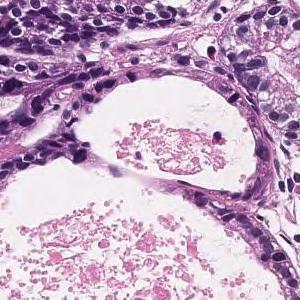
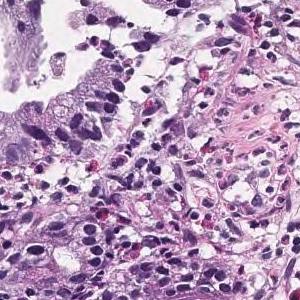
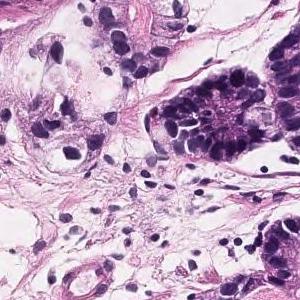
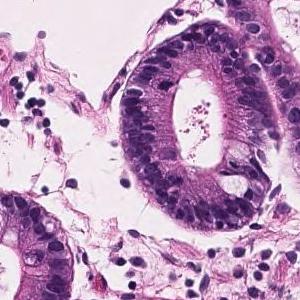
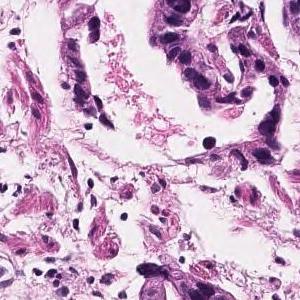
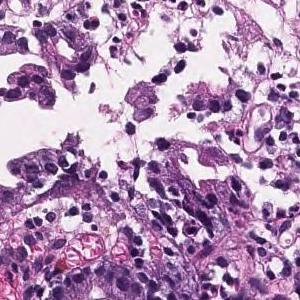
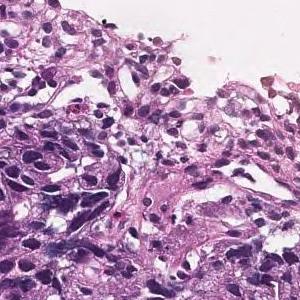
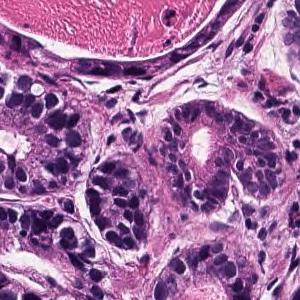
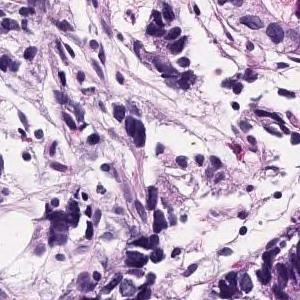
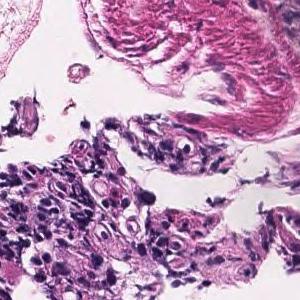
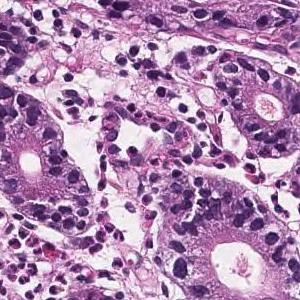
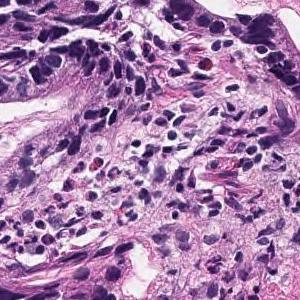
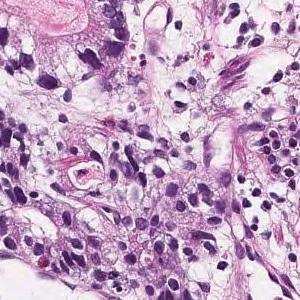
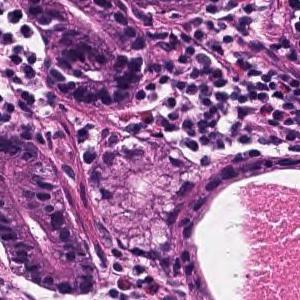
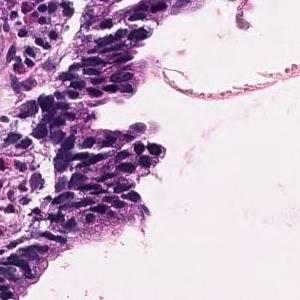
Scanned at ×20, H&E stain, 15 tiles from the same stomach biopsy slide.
The pathologist's report on the biopsy slide these tiles were taken from. Both the report and the diagnosis are for the whole slide: these tiles need not show every feature named, and some of the tissue shown may not be tumor.
Tumor tissue consisting of medium-sized and irregular ducts is observed infiltrating in the superficial epithelium. Tumor cells are highly columnar, with nuclei aligned basolaterally and polarized. Well differentiated tubular adenocarcinoma.
